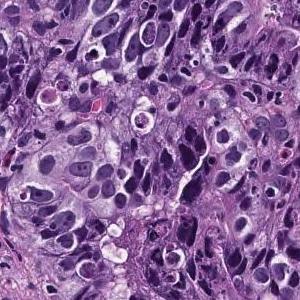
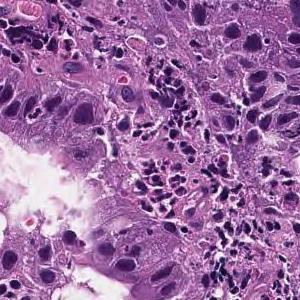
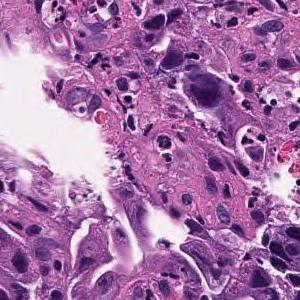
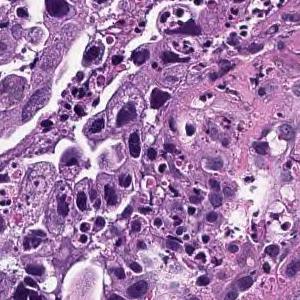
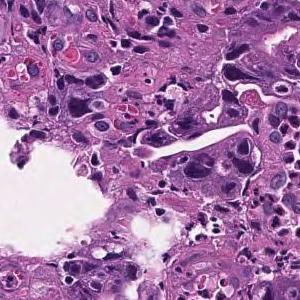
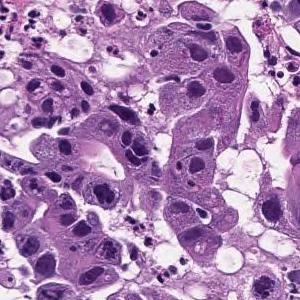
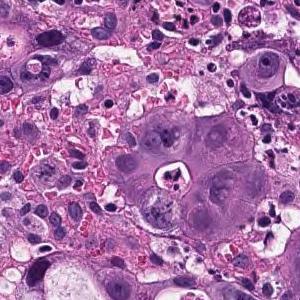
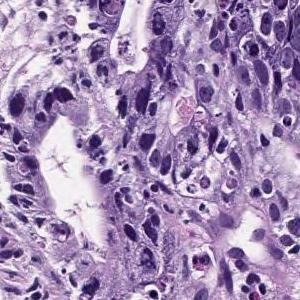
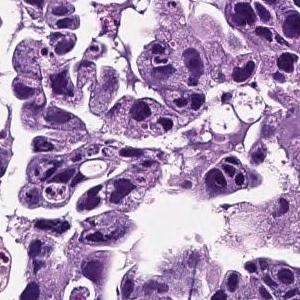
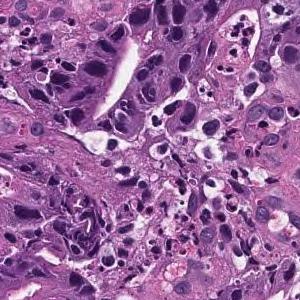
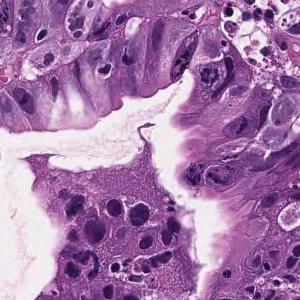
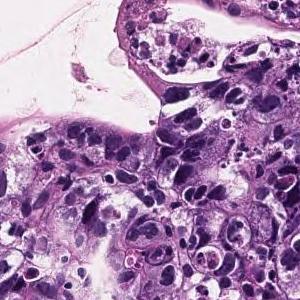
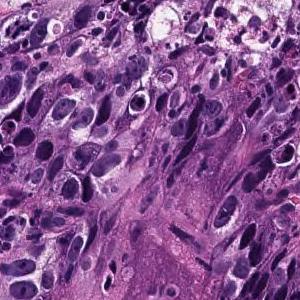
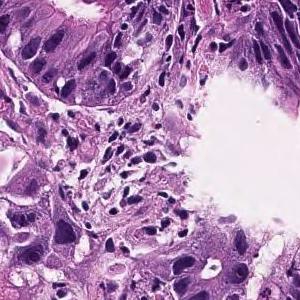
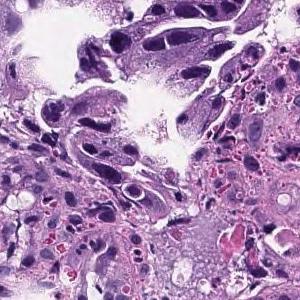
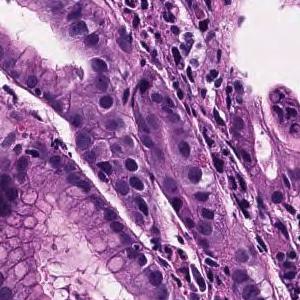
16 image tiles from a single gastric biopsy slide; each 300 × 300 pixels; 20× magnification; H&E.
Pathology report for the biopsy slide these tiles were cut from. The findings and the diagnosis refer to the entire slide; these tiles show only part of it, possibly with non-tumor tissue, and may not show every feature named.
In the superficial epithelium, medium to small irregular gland ducts are formed, and in some cases, the ducts are fused to show solid alveolar lesions and infiltrating tumor tissue is observed. Moderately to poorly differentiated adenocarcinoma
